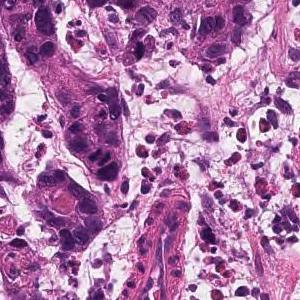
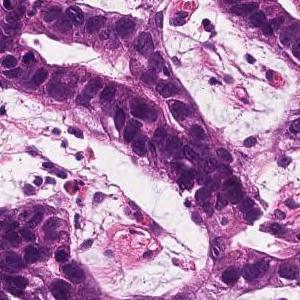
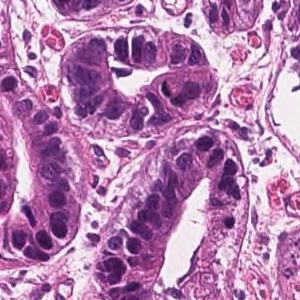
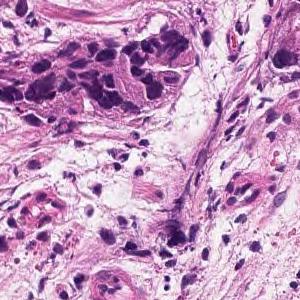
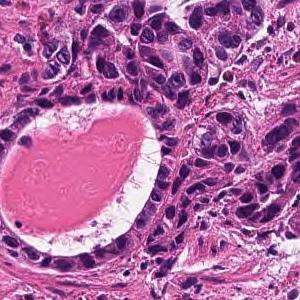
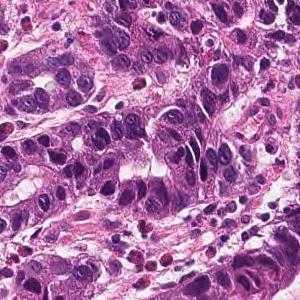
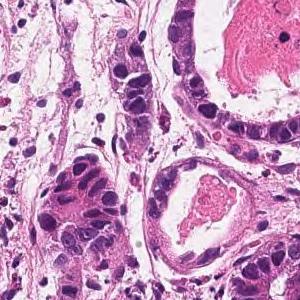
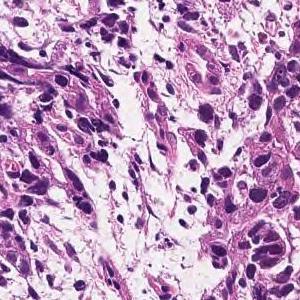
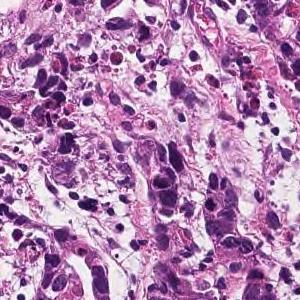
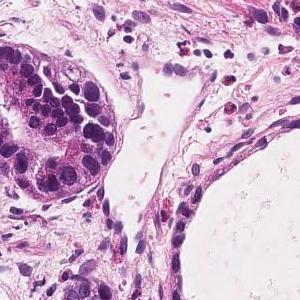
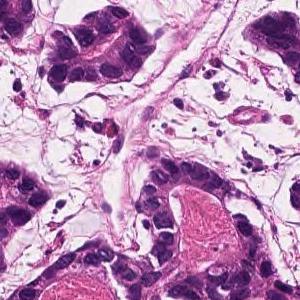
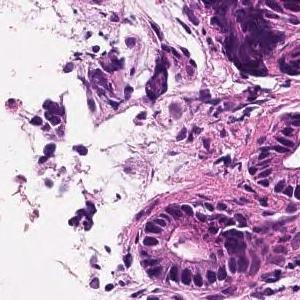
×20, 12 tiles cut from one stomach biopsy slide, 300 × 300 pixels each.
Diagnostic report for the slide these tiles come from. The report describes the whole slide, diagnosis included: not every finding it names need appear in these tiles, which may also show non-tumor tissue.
In the superficial epithelium, tumor tissue that invades by forming medium-sized to small, irregular ducts is observed. Well differentiated tubular adenocarcinoma.
